16 tiles from the same stomach biopsy slide.
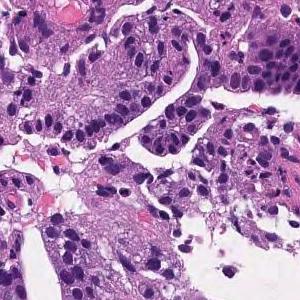
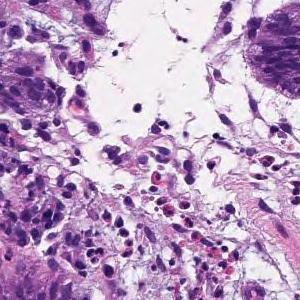
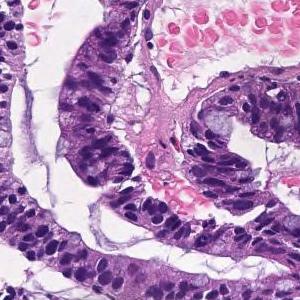
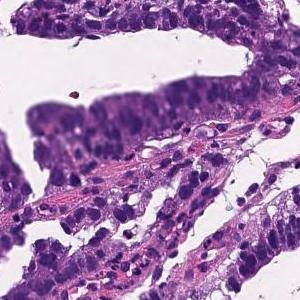
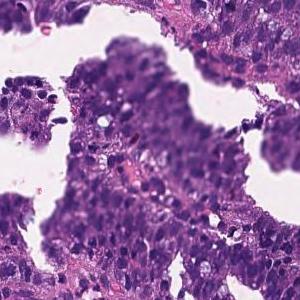
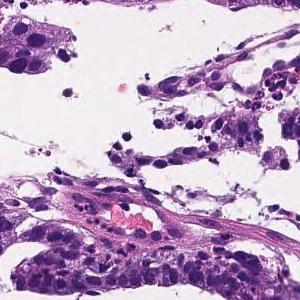
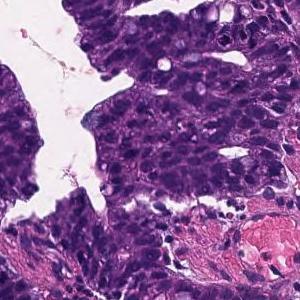
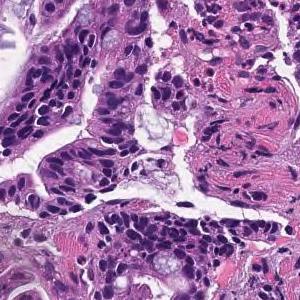
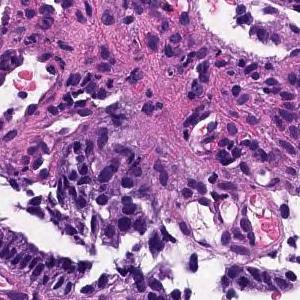
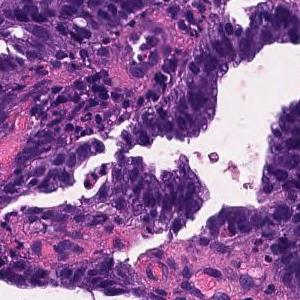
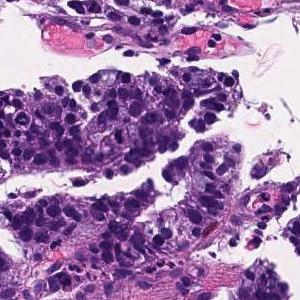
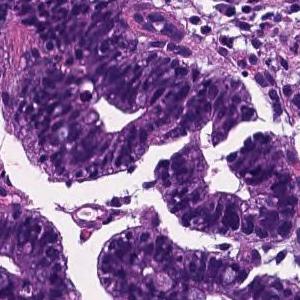
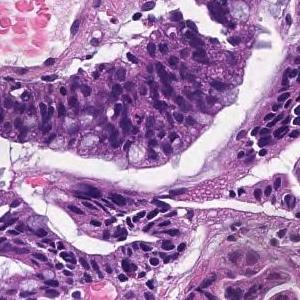
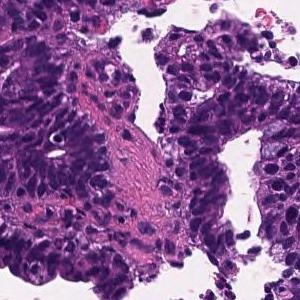
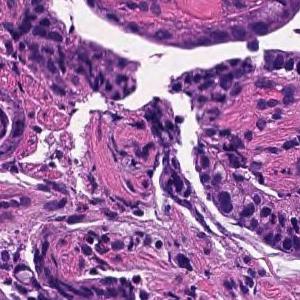
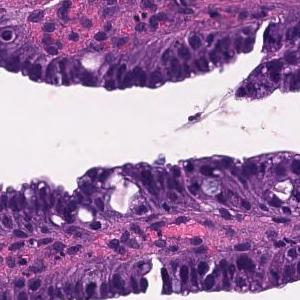
The pathologist's report on the biopsy slide these tiles were taken from. The report describes the whole slide, diagnosis included: not every finding it names need appear in these tiles, which may also show non-tumor tissue.
Tumor cells are large, highly columnar, large club-shaped nuclei, and are associated with chromatin aggregation. Papillary adenocarcinoma.
